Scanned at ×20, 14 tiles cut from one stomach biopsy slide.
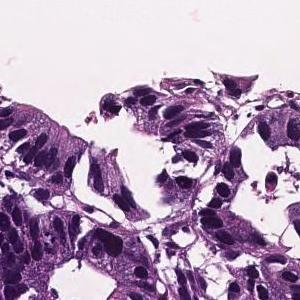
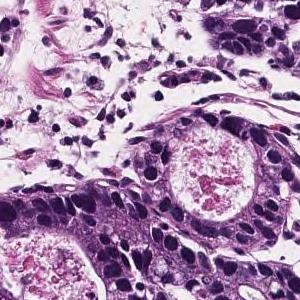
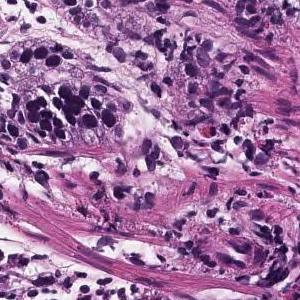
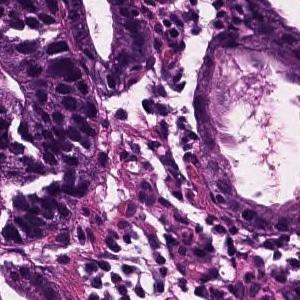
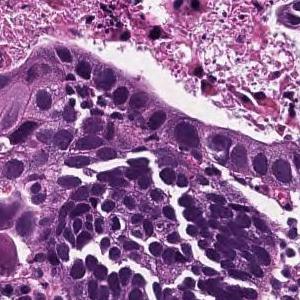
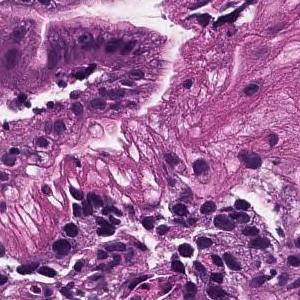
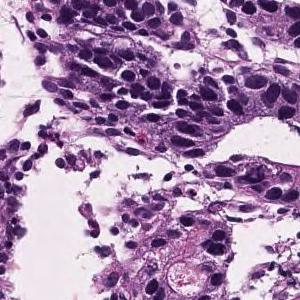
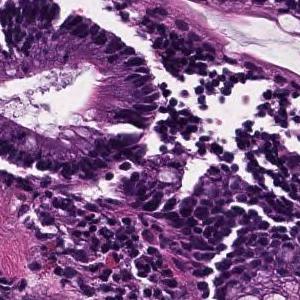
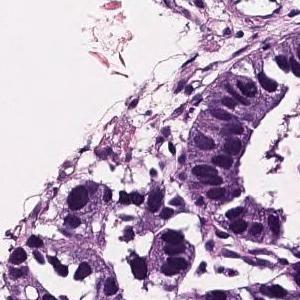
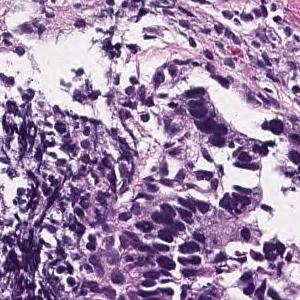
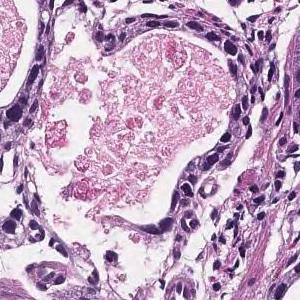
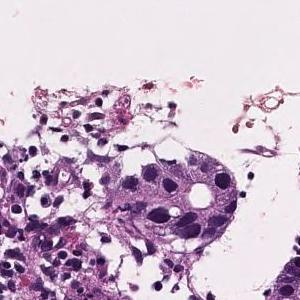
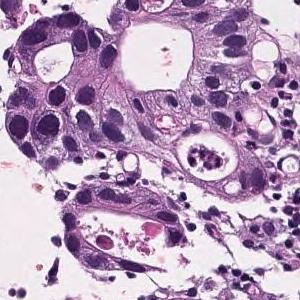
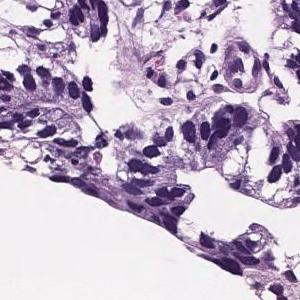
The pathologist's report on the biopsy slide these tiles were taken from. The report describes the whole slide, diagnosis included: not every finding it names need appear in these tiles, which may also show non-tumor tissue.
In the superficial epithelium, tumor tissue that invades by forming medium-sized to small, irregular ducts is observed. Well differentiated tubular adenocarcinoma.
